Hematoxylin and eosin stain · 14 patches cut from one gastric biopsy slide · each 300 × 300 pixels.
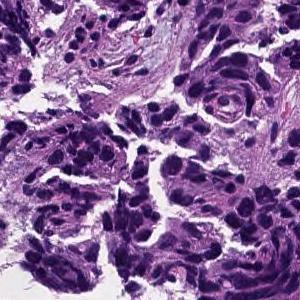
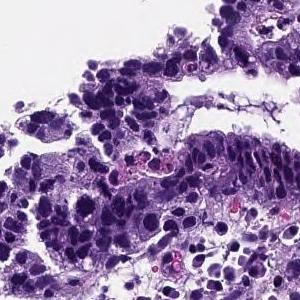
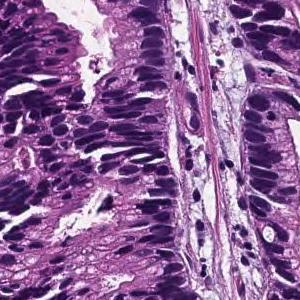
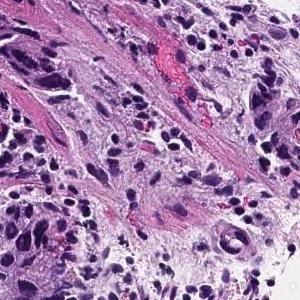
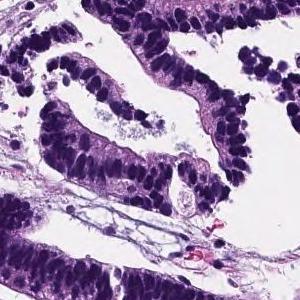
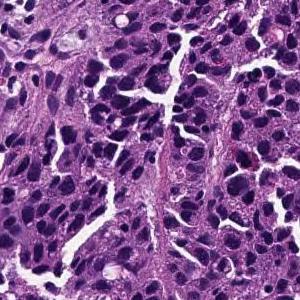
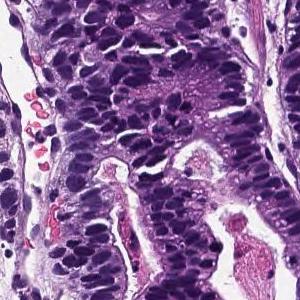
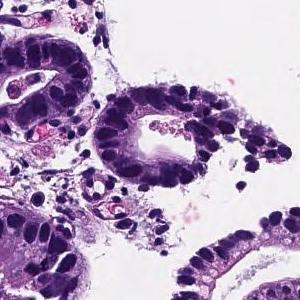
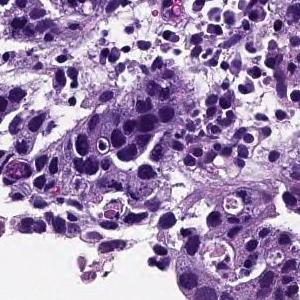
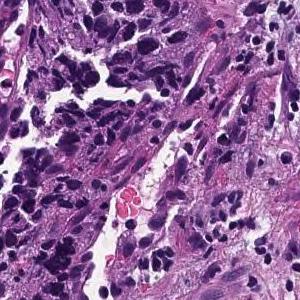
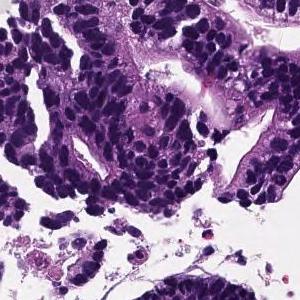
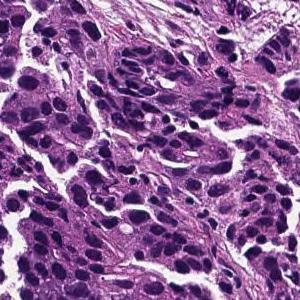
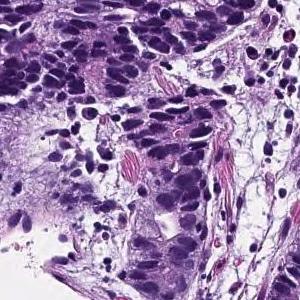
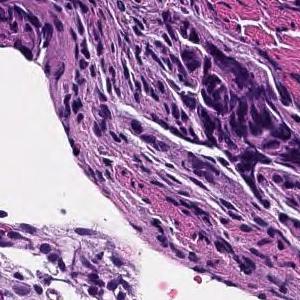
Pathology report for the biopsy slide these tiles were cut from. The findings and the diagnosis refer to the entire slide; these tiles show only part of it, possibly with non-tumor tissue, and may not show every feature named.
From the superficial epithelium to the muscularis mucosae, tumor tissue consisting of medium-sized and irregular glandular ducts infiltrating is observed. Well differentiated tubular adenocarcinoma
